×20 · hematoxylin and eosin stain · 9 patches cut from one gastric biopsy slide · 300×300 px each.
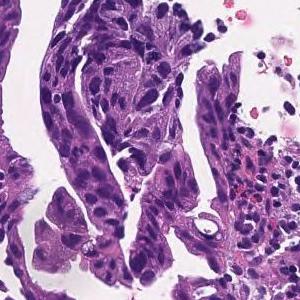
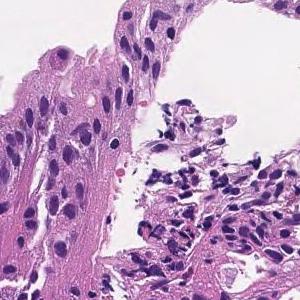
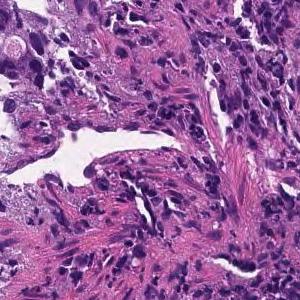
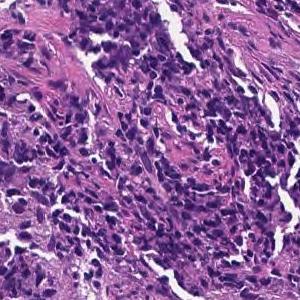
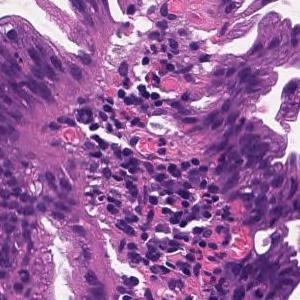
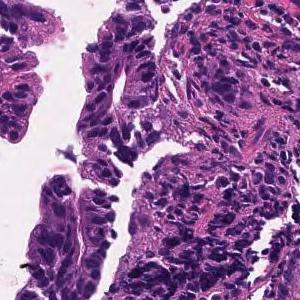
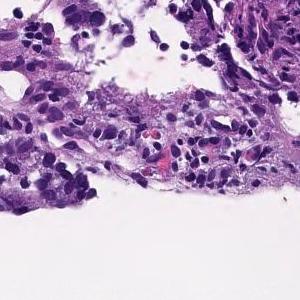
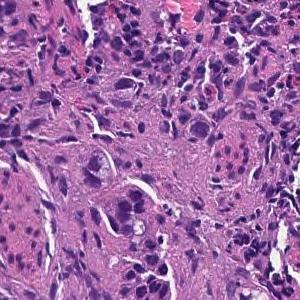
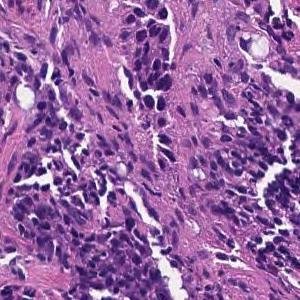
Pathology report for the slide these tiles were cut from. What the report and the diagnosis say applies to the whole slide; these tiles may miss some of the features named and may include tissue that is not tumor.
On the superficial epithelium, tumor tissue that infiltrates by forming medium-sized papillary or small irregular ducts is observed. Papillary adenocarcinoma
